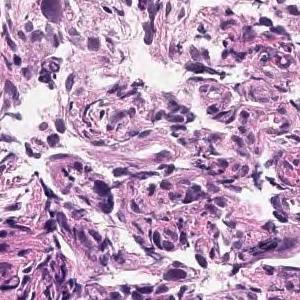
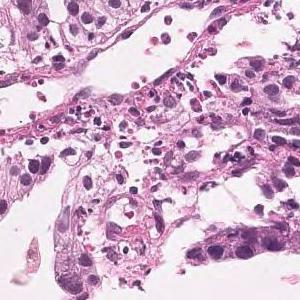
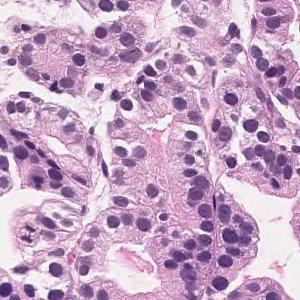
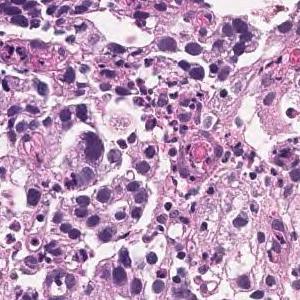
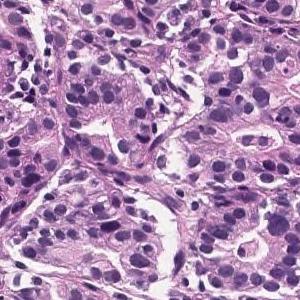
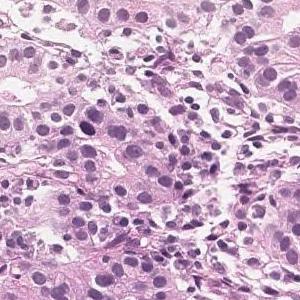
6 patches cut from one gastric biopsy slide, 300 × 300 pixels each, scanned at ×20, H&E.
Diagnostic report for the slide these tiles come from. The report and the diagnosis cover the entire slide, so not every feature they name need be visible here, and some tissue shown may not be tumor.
In the superficial epithelium, tumor tissue that invades by forming medium-sized to small, irregular ducts is observed. moderately differentiated tubular adenocarcinoma.
